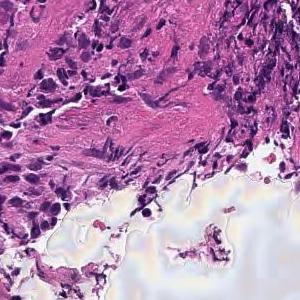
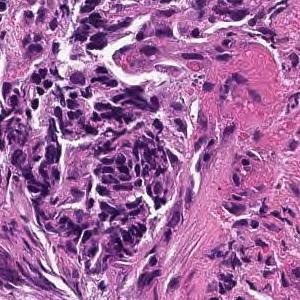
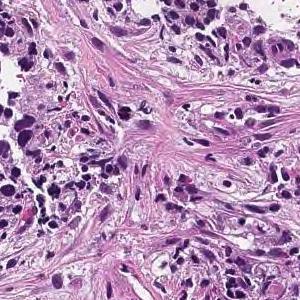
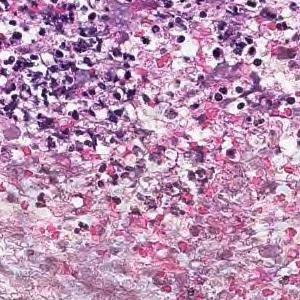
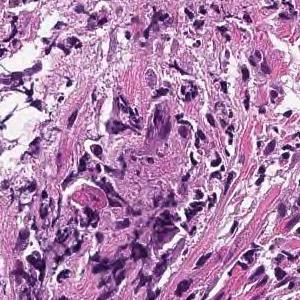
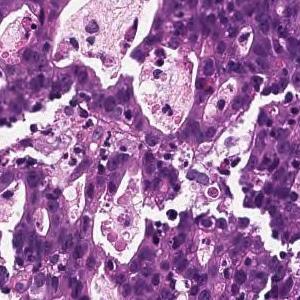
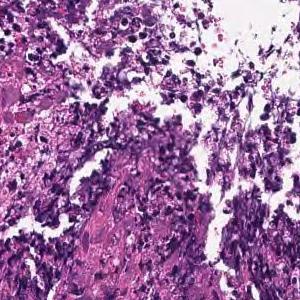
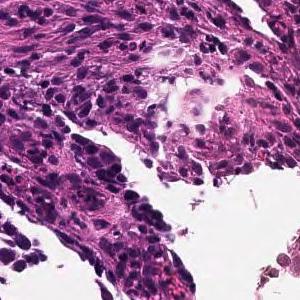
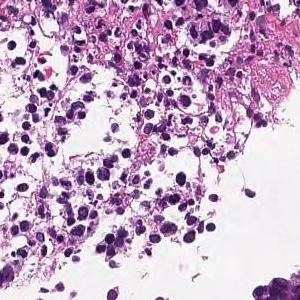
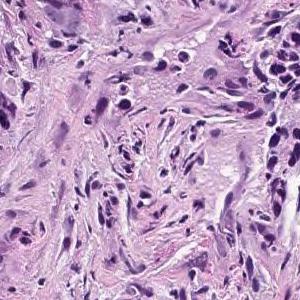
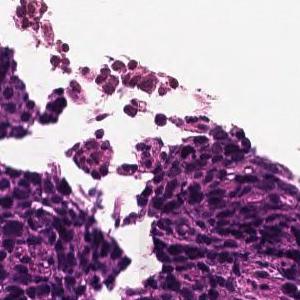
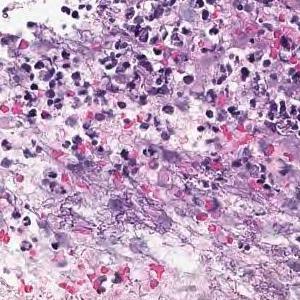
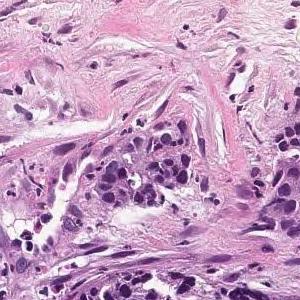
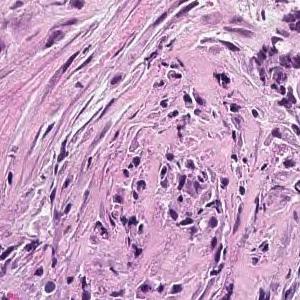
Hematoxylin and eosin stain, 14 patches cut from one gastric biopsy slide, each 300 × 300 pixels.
The pathologist's report on the biopsy slide these tiles were taken from. The report describes the whole slide, diagnosis included: not every finding it names need appear in these tiles, which may also show non-tumor tissue.
In the superficial epithelium, tumor tissue that invades by forming medium-sized to small, irregular ducts is observed. moderately differentiated tubular adenocarcinoma.
